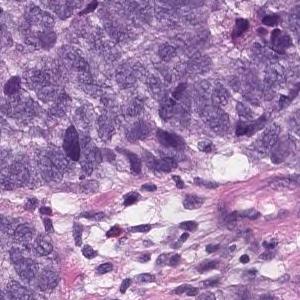
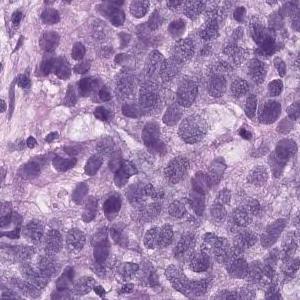
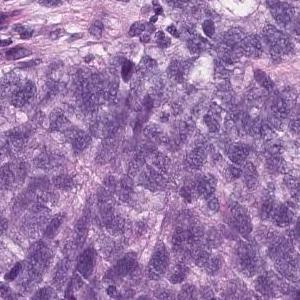
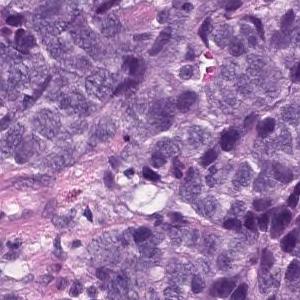
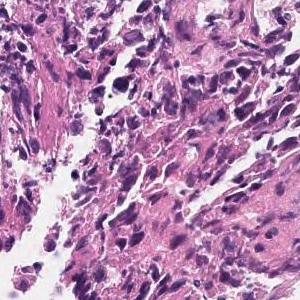
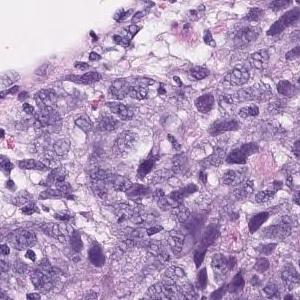
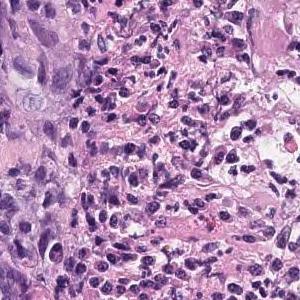
7 tiles cut from one stomach biopsy slide, H&E stain.
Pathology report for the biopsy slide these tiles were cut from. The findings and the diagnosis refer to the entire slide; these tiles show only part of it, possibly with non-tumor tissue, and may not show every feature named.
Epithelial cells with swollen nuclei with atypia invasively proliferating while forming vesicles is observed. Poorly differentiated adenocarcinoma
Subtype: Poorly differentiated adenocarcinoma, solid type (Japanese Classification of Gastric Carcinoma). The WHO 2019 equivalent is tubular adenocarcinoma, poorly differentiated.
